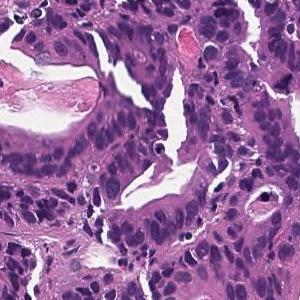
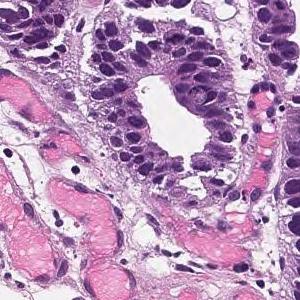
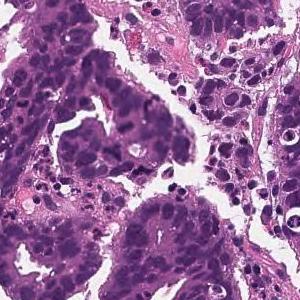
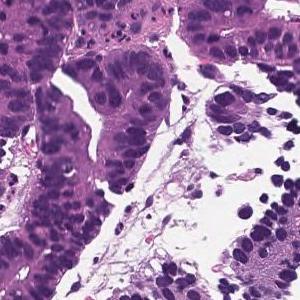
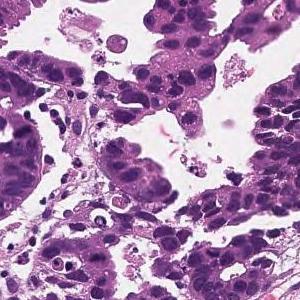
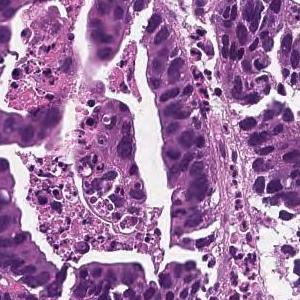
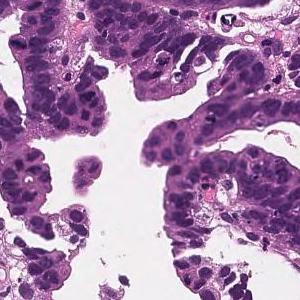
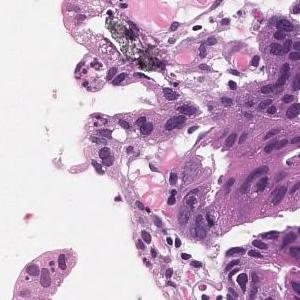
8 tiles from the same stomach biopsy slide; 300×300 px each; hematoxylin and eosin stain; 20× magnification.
The pathologist's report on the biopsy slide these tiles were taken from. The report describes the whole slide, diagnosis included: not every finding it names need appear in these tiles, which may also show non-tumor tissue.
In the superficial epithelium, tumor tissue that invades by forming medium-sized to small, irregular ducts is observed. moderately differentiated tubular adenocarcinoma.
